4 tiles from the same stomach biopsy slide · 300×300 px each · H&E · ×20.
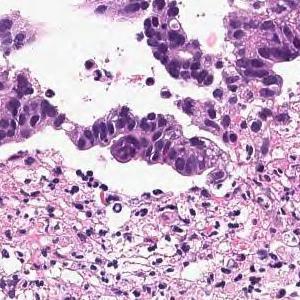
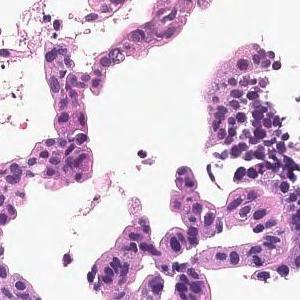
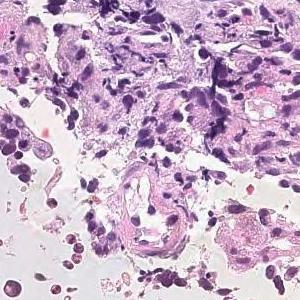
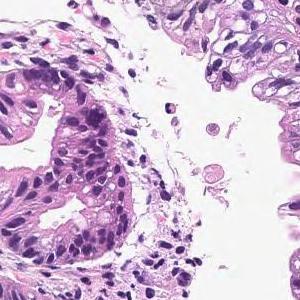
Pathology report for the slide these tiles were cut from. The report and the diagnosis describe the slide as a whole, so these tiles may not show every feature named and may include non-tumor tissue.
In the superficial epithelium, tumor tissue that invades by forming medium-sized to small, irregular ducts is observed. moderately differentiated tubular adenocarcinoma.
